13 tiles cut from one stomach biopsy slide.
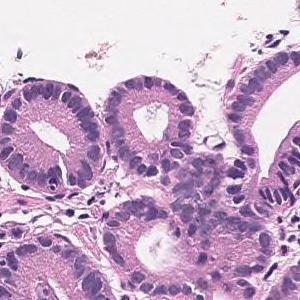
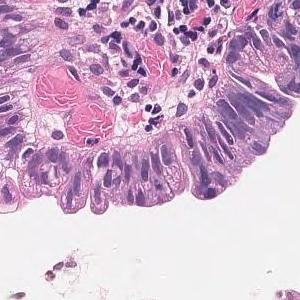
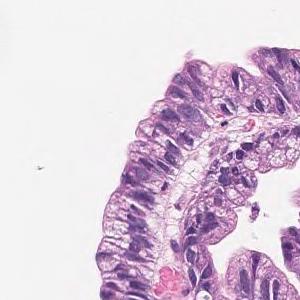
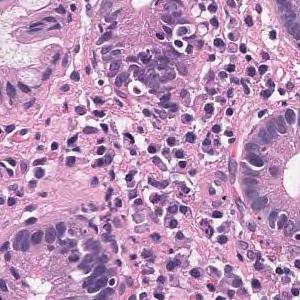
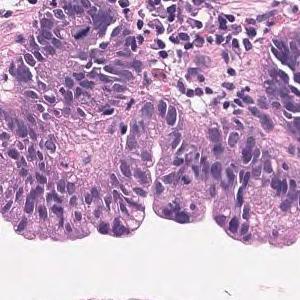
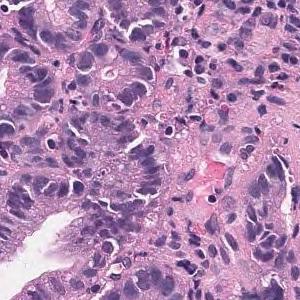
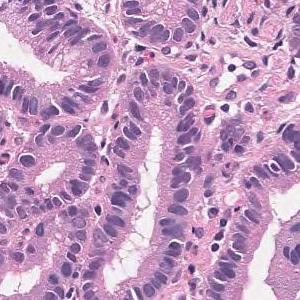
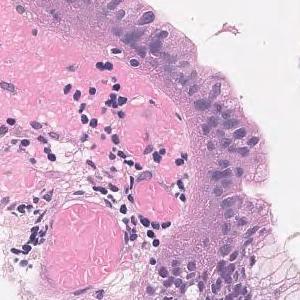
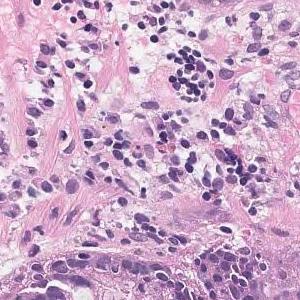
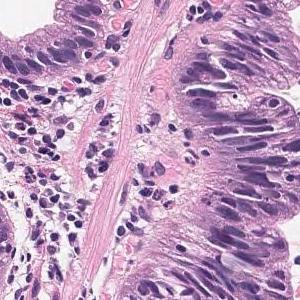
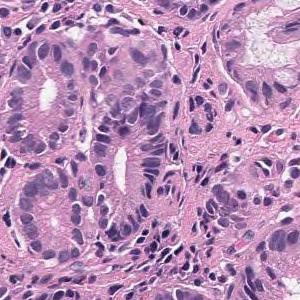
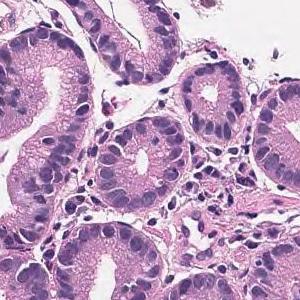
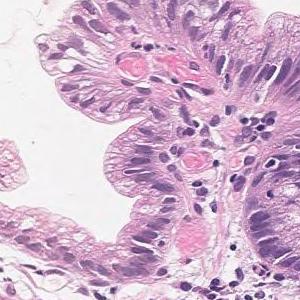
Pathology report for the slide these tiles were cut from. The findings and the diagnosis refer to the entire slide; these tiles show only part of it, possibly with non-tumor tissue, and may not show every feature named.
Tumor tissue that grows tubular from the surface to the glandular fossa is seen. Adenocarcinoma.
Subtype: Well differentiated tubular adenocarcinoma.
